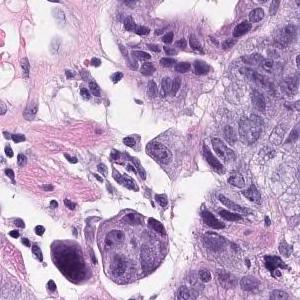
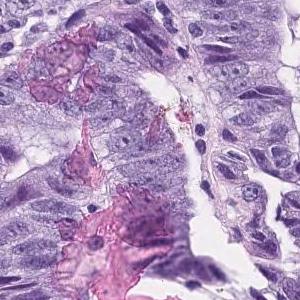
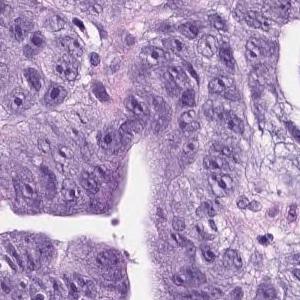
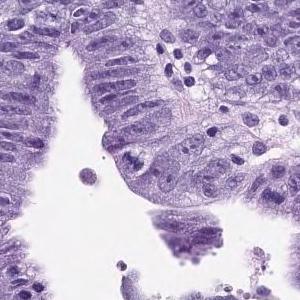
4 tiles from the same stomach biopsy slide, 300 × 300 pixels each, H&E.
Report on the slide these tiles come from. The report and the diagnosis describe the slide as a whole, so these tiles may not show every feature named and may include non-tumor tissue.
In the superficial epithelium, tumor tissue that invades by forming medium-sized to small, irregular ducts is observed. Moderately differentiated adenocarcinoma.
Histological subtype: Moderately differentiated tubular adenocarcinoma.
